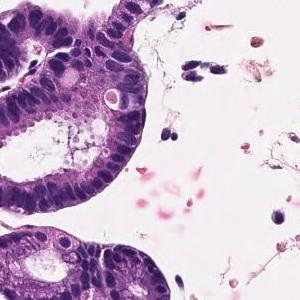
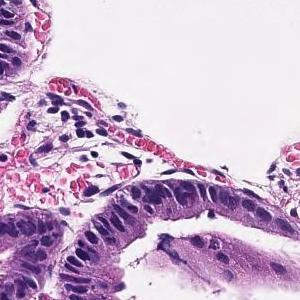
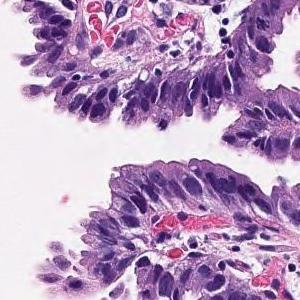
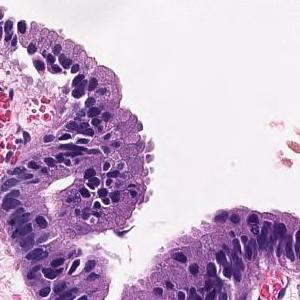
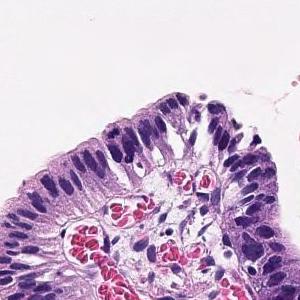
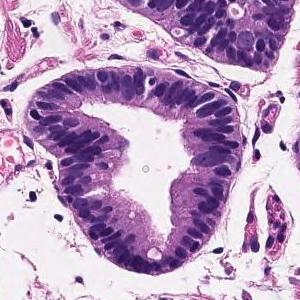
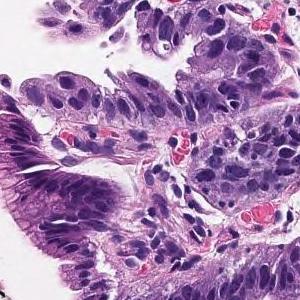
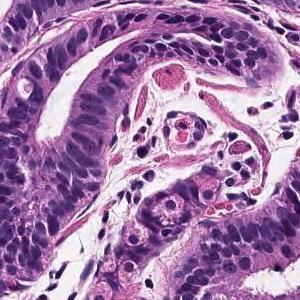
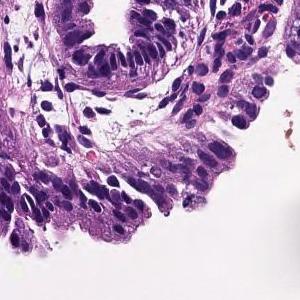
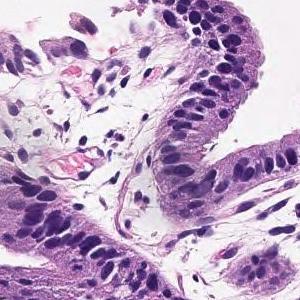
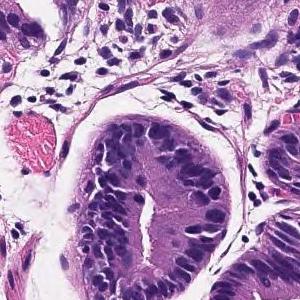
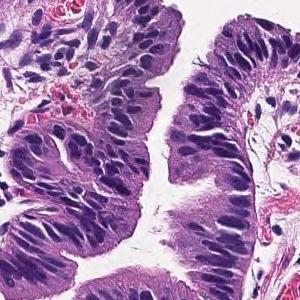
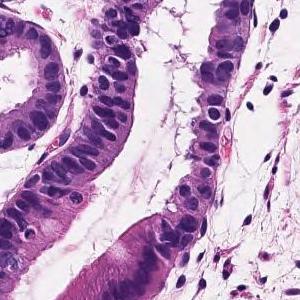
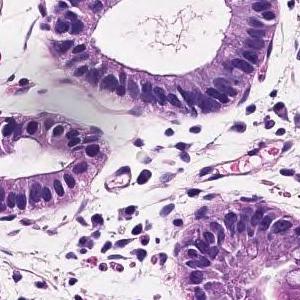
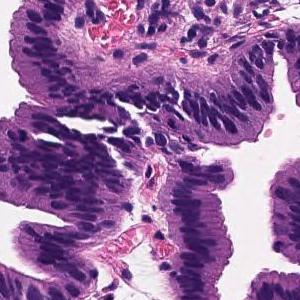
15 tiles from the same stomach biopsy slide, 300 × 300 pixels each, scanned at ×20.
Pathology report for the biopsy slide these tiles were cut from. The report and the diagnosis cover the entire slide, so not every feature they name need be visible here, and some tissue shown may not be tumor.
Tumor cells are large, highly columnar, large club-shaped nuclei, and are associated with chromatin aggregation. Papillary adenocarcinoma.
